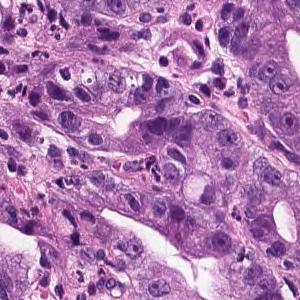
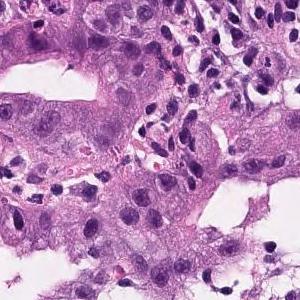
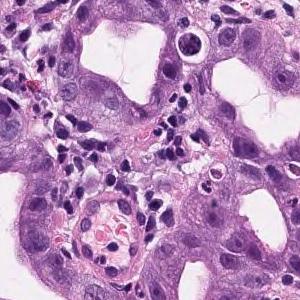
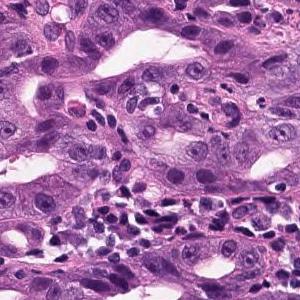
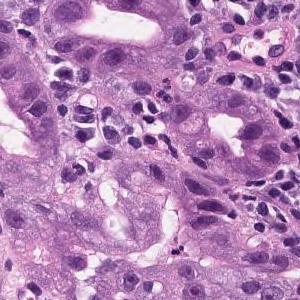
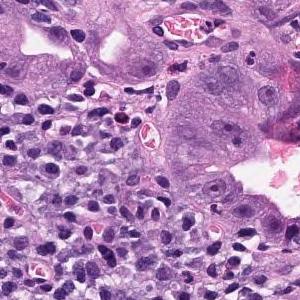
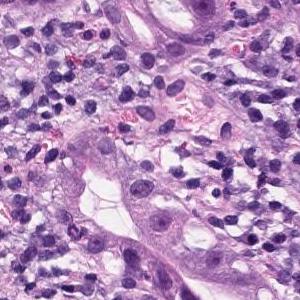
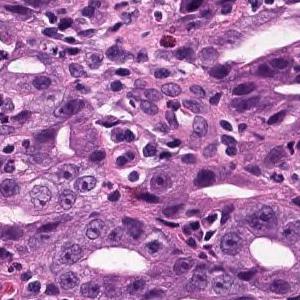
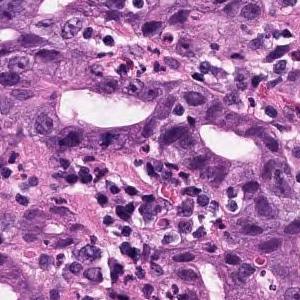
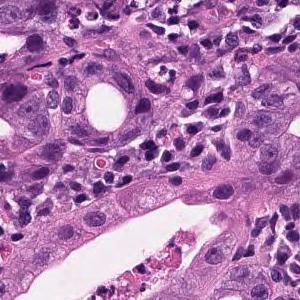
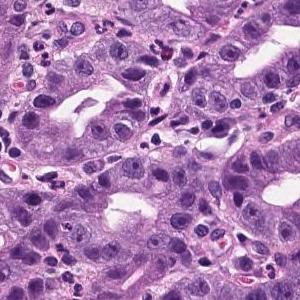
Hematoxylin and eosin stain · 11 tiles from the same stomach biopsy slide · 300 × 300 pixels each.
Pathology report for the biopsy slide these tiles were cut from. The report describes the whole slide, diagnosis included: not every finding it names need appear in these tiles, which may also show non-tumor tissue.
In the superficial epithelium, tumor tissue that invades by forming medium-sized to small, irregular ducts is observed. Well to moderately differentiated adenocarcinoma (well differentiated tubular adenocarcinoma, moderately differentiated tubular adenocarcinoma).
Classified as well to moderately differentiated tubular adenocarcinoma.
